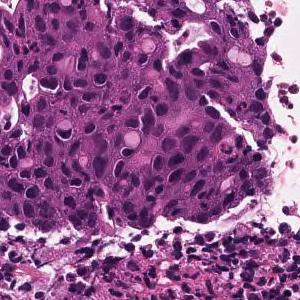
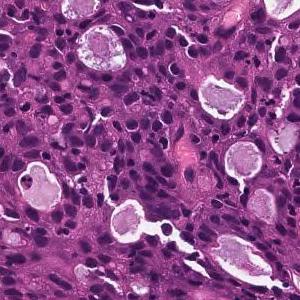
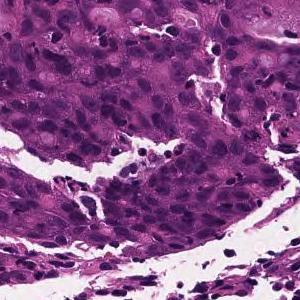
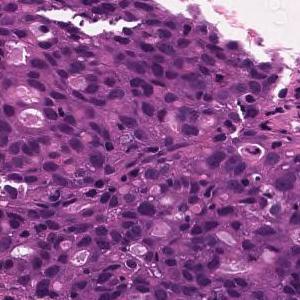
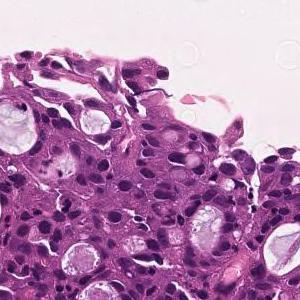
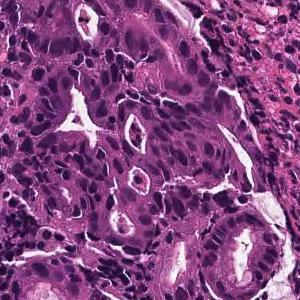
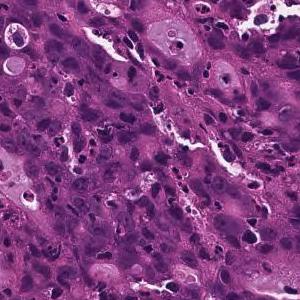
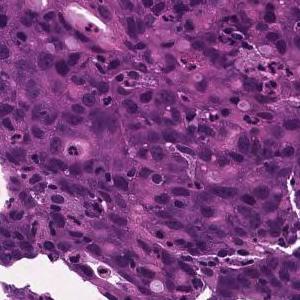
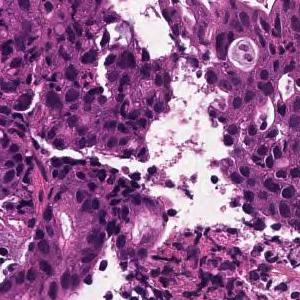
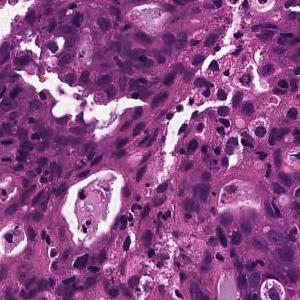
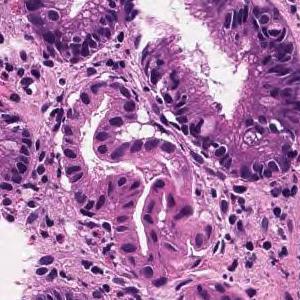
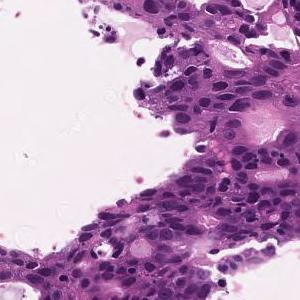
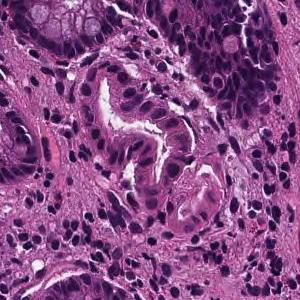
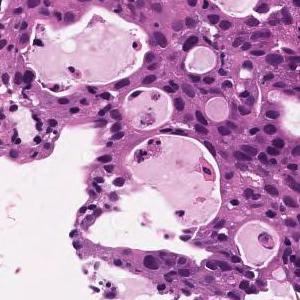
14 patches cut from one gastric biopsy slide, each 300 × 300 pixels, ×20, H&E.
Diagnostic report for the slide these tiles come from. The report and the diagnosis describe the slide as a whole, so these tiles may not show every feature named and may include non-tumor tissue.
Cells with atypical nuclei are densely hyperplasia while forming sieve-like ducts of various sizes. moderately differentiated tubular adenocarcinoma
